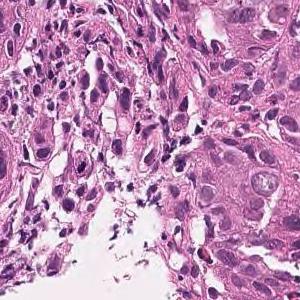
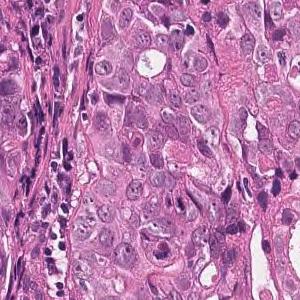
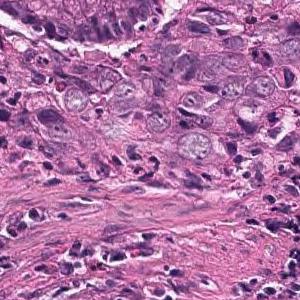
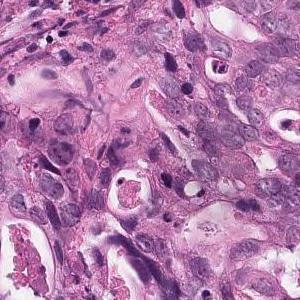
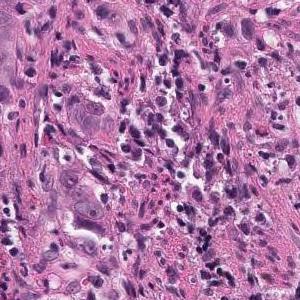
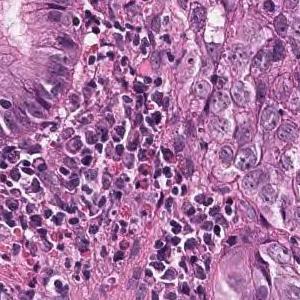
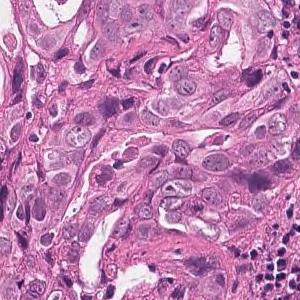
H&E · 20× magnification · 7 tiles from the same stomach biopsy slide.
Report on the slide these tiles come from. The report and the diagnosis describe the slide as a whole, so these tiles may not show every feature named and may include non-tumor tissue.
Tumor tissue that infiltrates and proliferates with alveolar or cord-like structures with small glandular cavities in the superficial to submucosal layers is observed. moderately differentiated tubular adenocarcinoma
